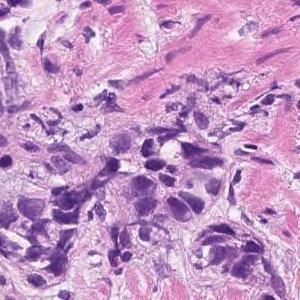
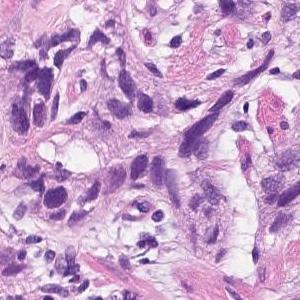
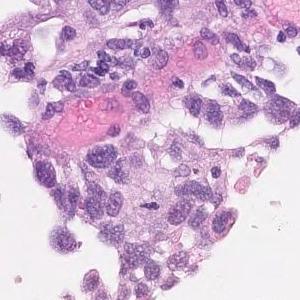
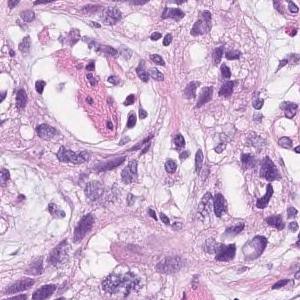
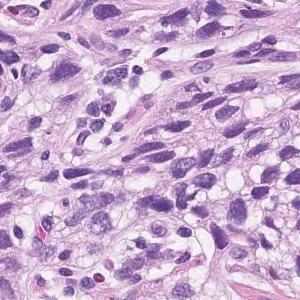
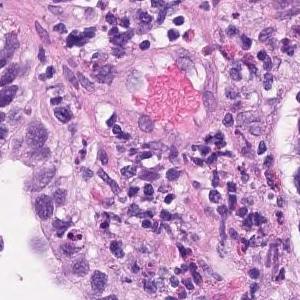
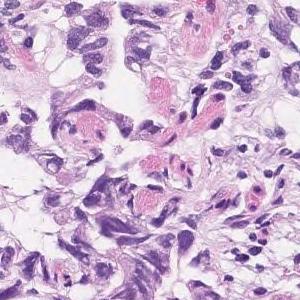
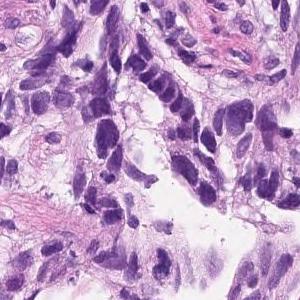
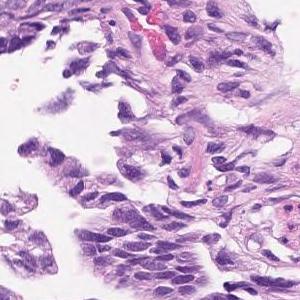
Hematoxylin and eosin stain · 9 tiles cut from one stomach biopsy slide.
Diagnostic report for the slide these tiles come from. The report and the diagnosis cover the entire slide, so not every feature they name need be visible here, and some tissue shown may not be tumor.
In the superficial epithelium, tumor tissue that invades by forming medium-sized to small, irregular ducts is observed. Moderately differentiated adenocarcinoma.
Histologic type: Moderately differentiated tubular adenocarcinoma.
